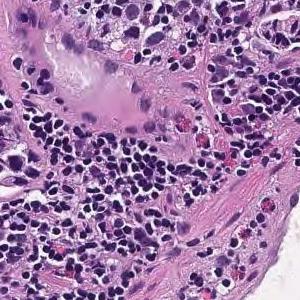
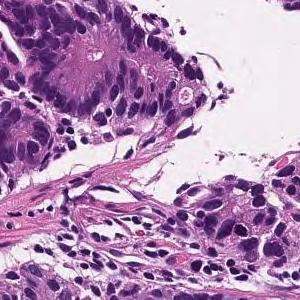
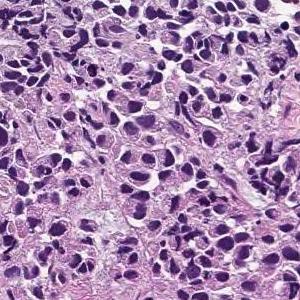
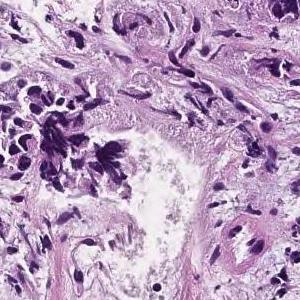
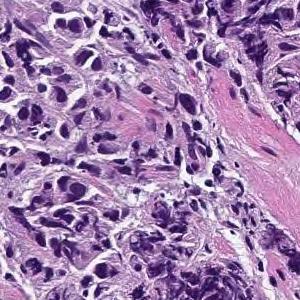
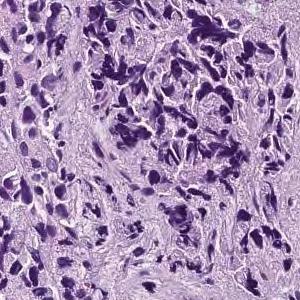
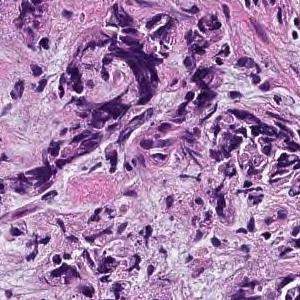
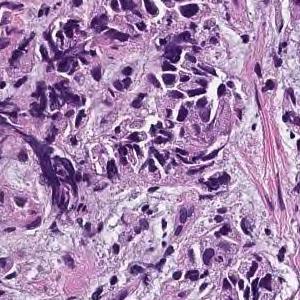
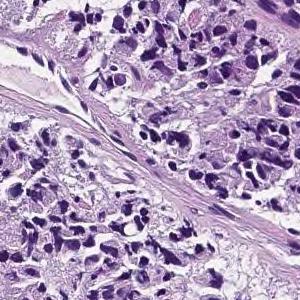
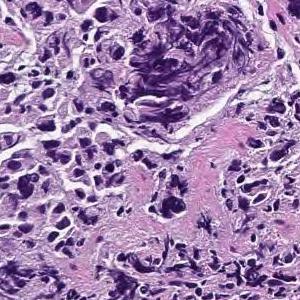
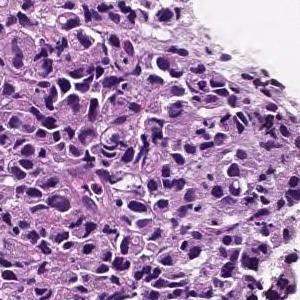
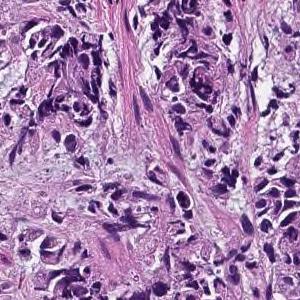
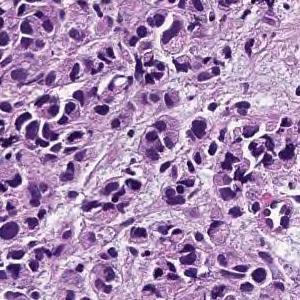
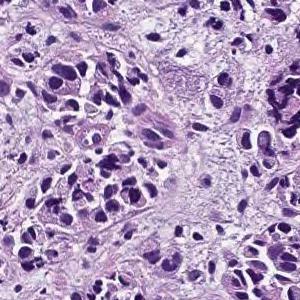
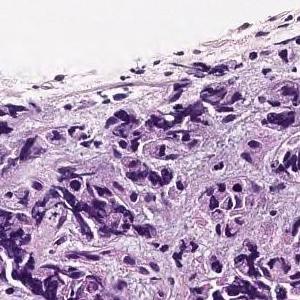
15 patches cut from one gastric biopsy slide; ×20.
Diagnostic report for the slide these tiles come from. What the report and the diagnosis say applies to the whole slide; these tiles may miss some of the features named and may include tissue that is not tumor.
The lamina propria shows small cord-like tumor tissue that infiltrates with fibrosis and marked chronic inflammatory cell infiltration. Poorly differentiated adenocarcinoma, non-solid type
"Non-solid type" is a category of the Japanese Classification of Gastric Carcinoma.
